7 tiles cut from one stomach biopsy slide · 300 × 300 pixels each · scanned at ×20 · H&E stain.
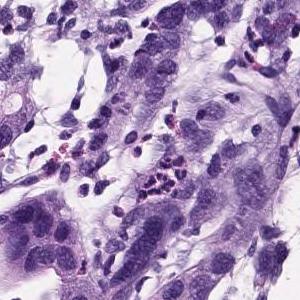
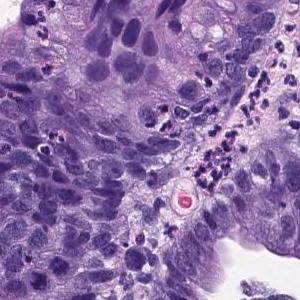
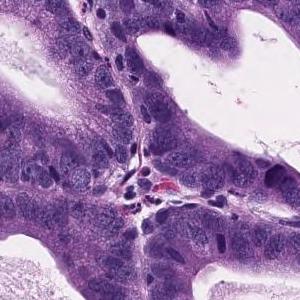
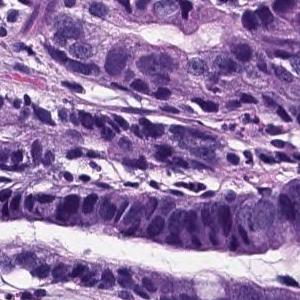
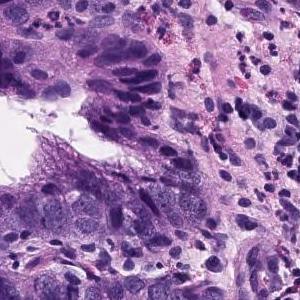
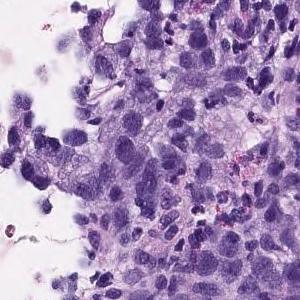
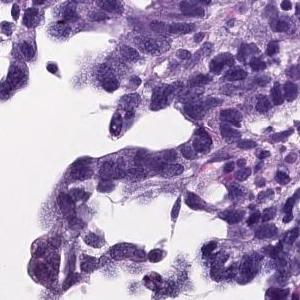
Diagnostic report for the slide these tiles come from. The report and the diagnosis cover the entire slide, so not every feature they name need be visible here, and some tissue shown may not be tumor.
Tumor tissue consisting of large papillary structures is found in the superficial epithelium. Papillary adenocarcinoma.
